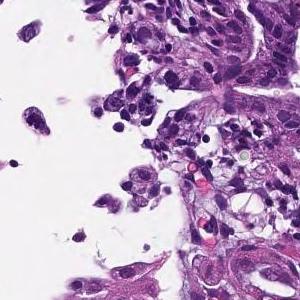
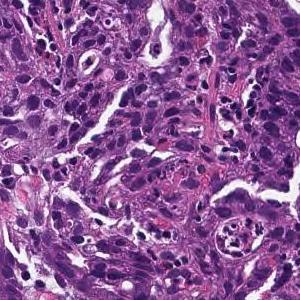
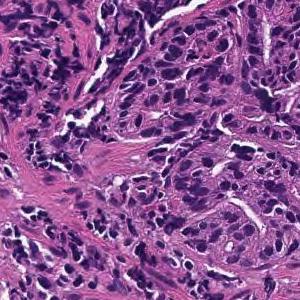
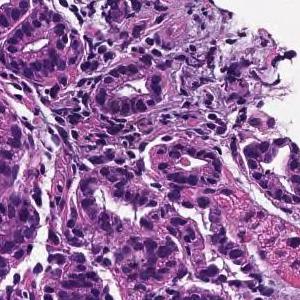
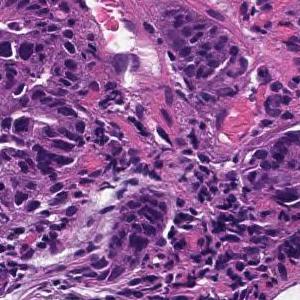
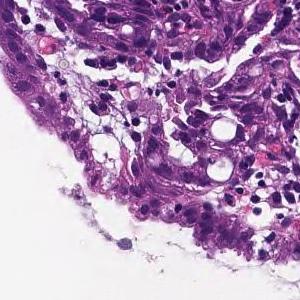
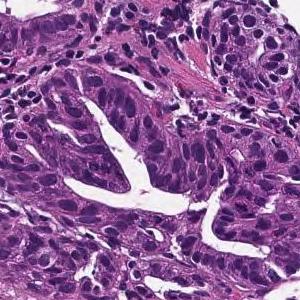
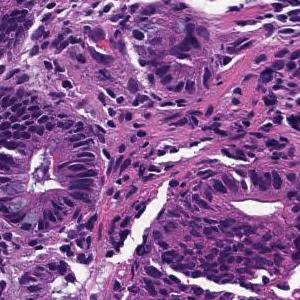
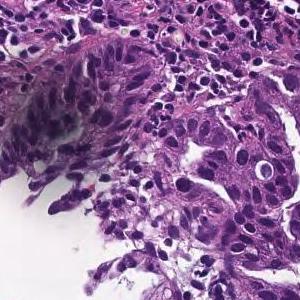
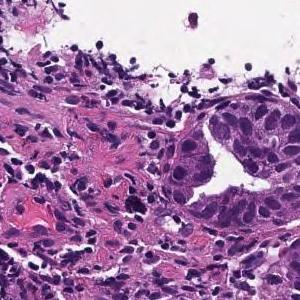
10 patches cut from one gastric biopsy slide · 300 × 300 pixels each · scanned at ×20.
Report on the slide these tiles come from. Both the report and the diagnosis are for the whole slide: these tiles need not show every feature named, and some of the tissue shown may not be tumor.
On the superficial epithelium, tumor tissue consisting of large irregular glandular ducts partially fused and infiltrated is observed. Well to moderately differentiated tubular adenocarcinoma (well differentiated tubular adenocarcinoma, moderately differentiated tubular adenocarcinoma)
Tumor subtype: well to moderately differentiated tubular adenocarcinoma.
